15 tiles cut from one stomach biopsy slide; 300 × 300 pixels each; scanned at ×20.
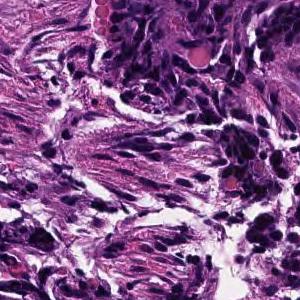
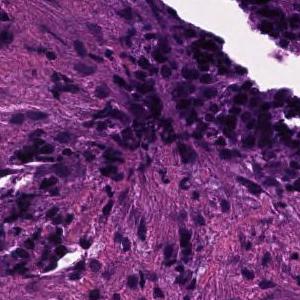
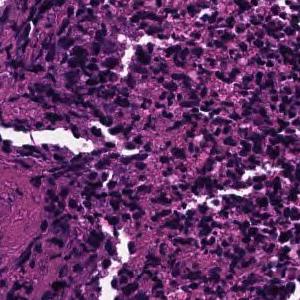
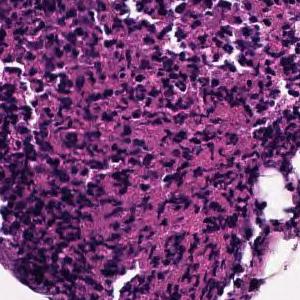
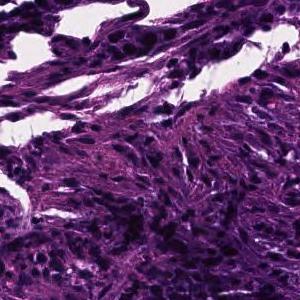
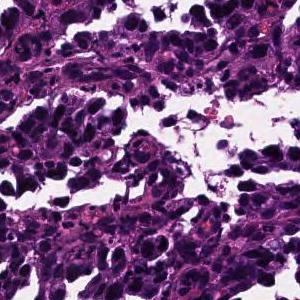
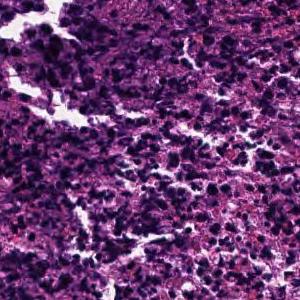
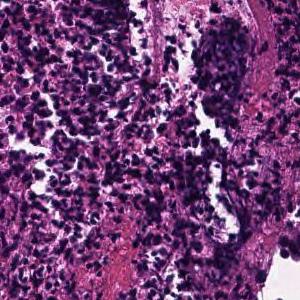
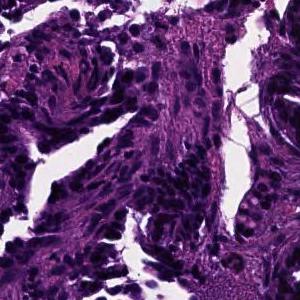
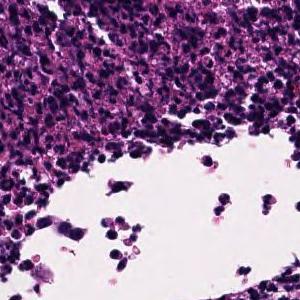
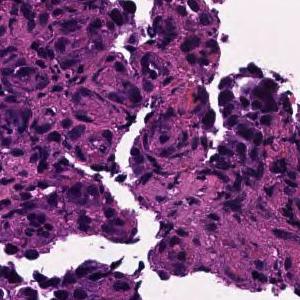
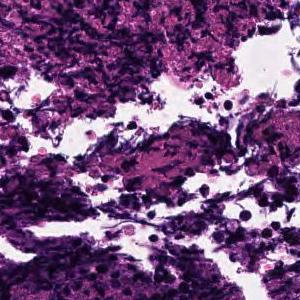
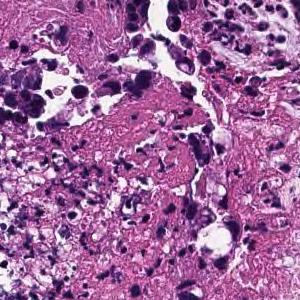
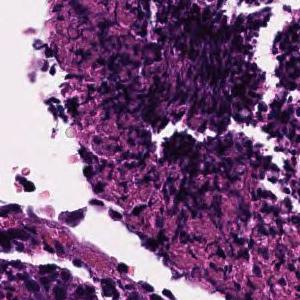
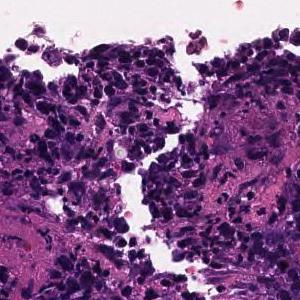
Report on the slide these tiles come from. What the report and the diagnosis say applies to the whole slide; these tiles may miss some of the features named and may include tissue that is not tumor.
In the superficial epithelium, tumor tissue that invades by forming medium-sized to small, irregular ducts is observed. moderately differentiated tubular adenocarcinoma.
